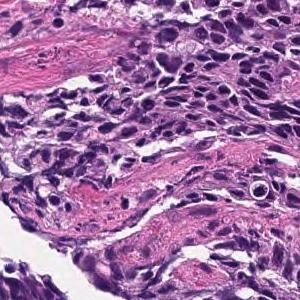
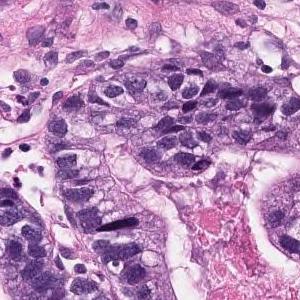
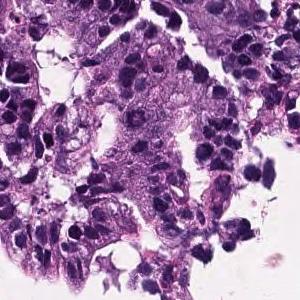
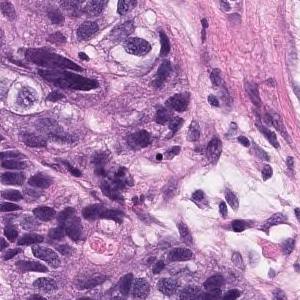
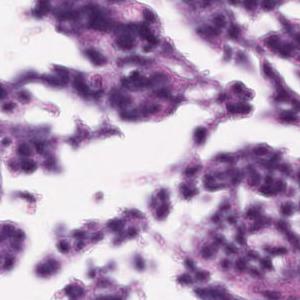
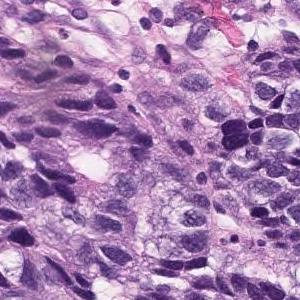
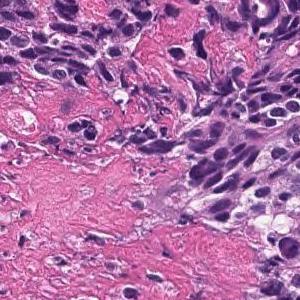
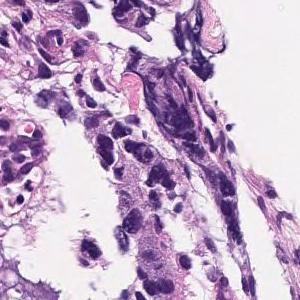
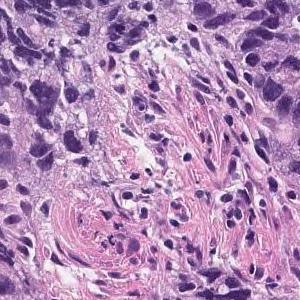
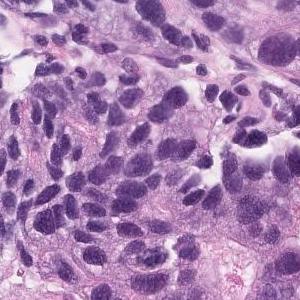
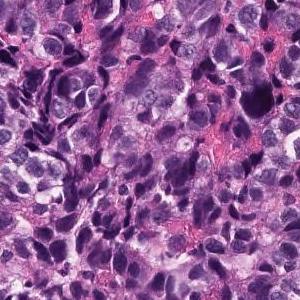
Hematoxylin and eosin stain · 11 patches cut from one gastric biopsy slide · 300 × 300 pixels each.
The pathologist's report on the biopsy slide these tiles were taken from. The report and the diagnosis cover the entire slide, so not every feature they name need be visible here, and some tissue shown may not be tumor.
Medium to small, irregular glandular ducts are formed in the superficial epithelium, and in some cases, the glandular ducts are fused to show solid alveolar lesions and infiltrating tumor tissue is observed. Moderately to poorly differentiated adenocarcinoma.
